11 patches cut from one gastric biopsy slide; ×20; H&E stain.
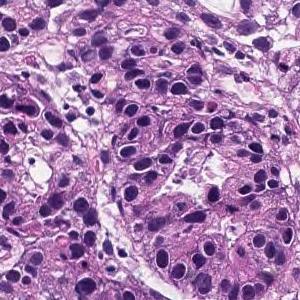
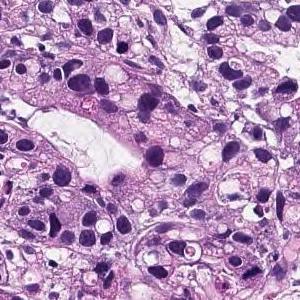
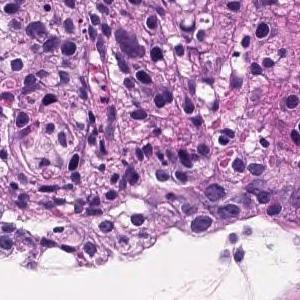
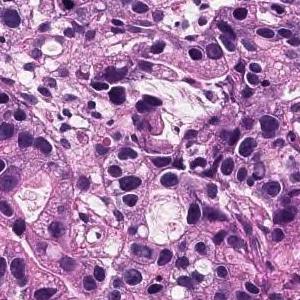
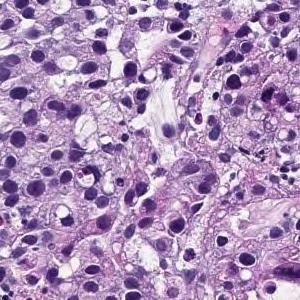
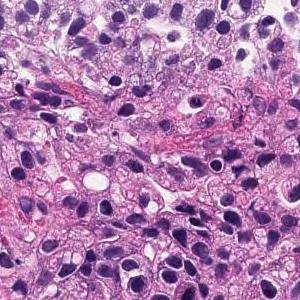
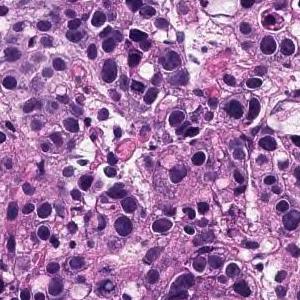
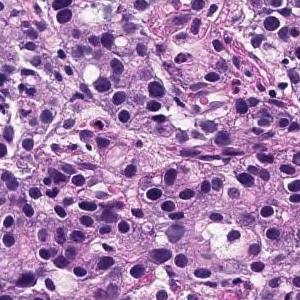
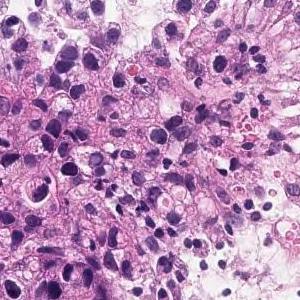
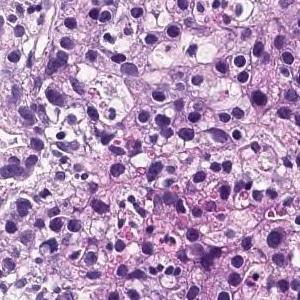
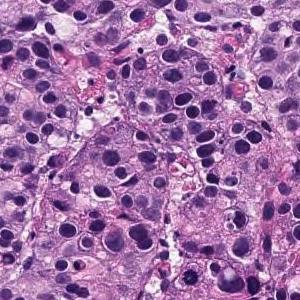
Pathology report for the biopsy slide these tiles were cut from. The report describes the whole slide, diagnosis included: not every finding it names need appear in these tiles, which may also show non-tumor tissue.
In the superficial epithelium, tumor tissue that invades by forming medium-sized to small, irregular ducts is observed. moderately differentiated tubular adenocarcinoma.
